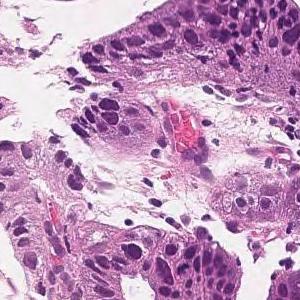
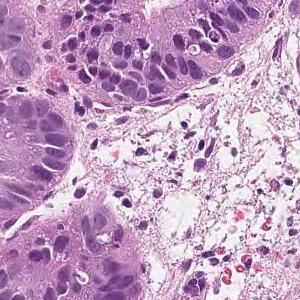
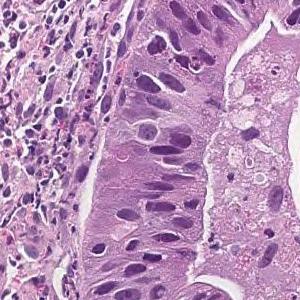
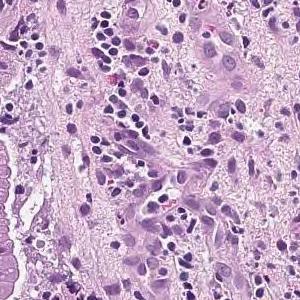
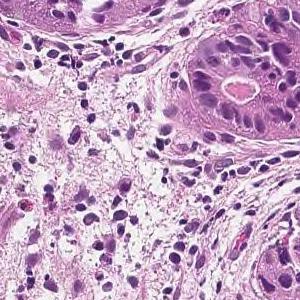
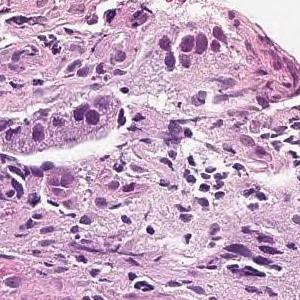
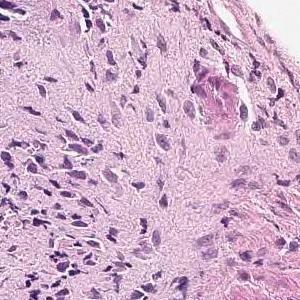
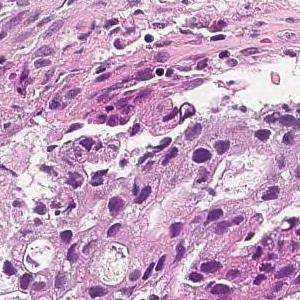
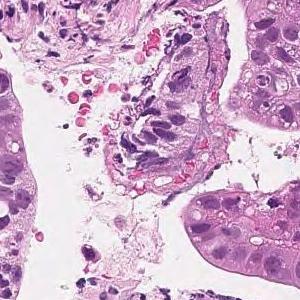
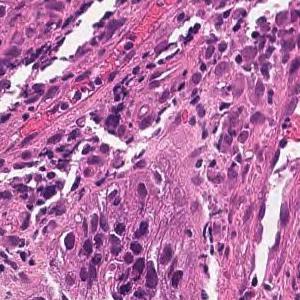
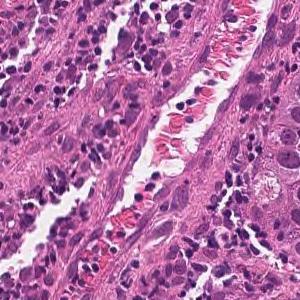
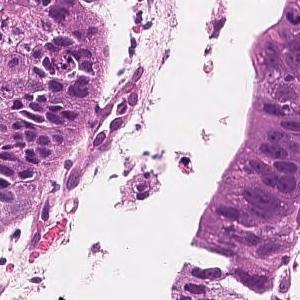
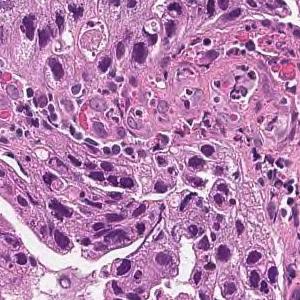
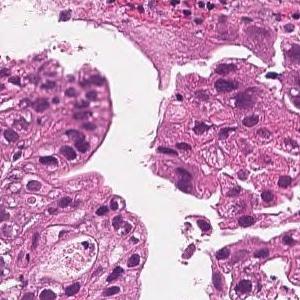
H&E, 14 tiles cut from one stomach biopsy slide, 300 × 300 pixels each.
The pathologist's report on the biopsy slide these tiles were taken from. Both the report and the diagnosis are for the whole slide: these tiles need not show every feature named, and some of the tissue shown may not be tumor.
In the superficial epithelium, tumor tissue that invades by forming medium-sized to small, irregular ducts is observed. moderately differentiated tubular adenocarcinoma.
